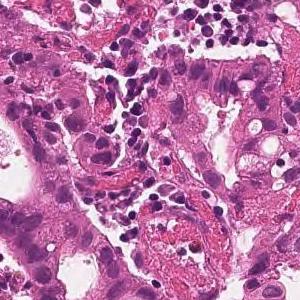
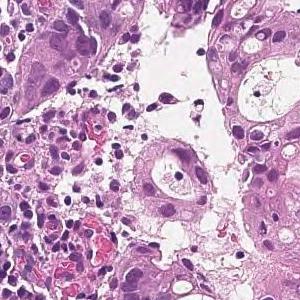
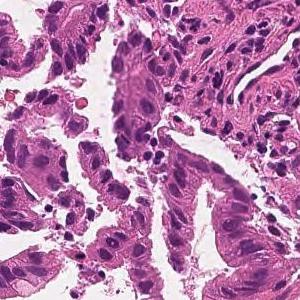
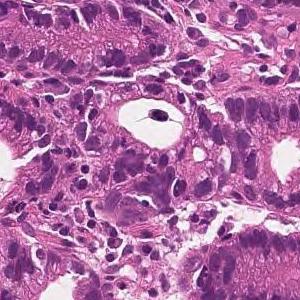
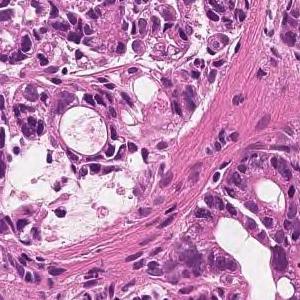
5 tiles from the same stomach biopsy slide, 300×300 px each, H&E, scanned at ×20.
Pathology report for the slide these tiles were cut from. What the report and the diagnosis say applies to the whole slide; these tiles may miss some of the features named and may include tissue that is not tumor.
On the superficial epithelium, tumor tissue is found in which medium-sized irregular gland ducts fuse with each other and infiltrate. moderately differentiated tubular adenocarcinoma
